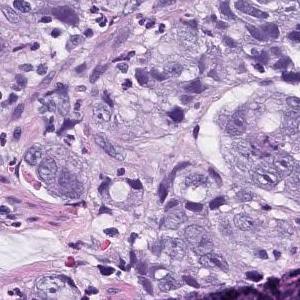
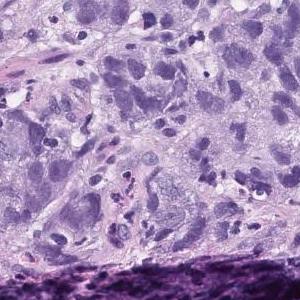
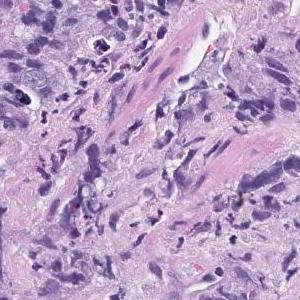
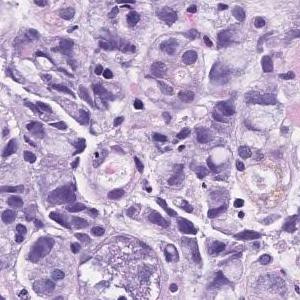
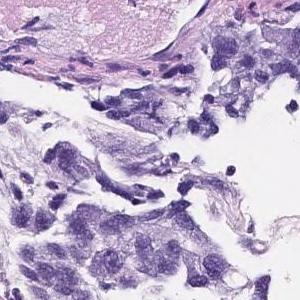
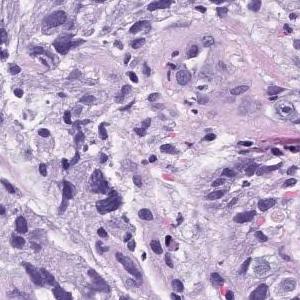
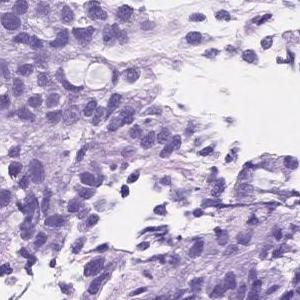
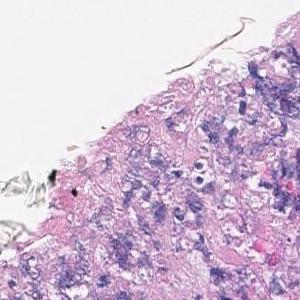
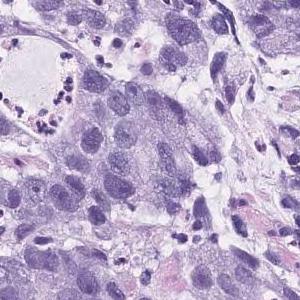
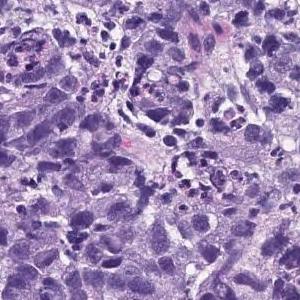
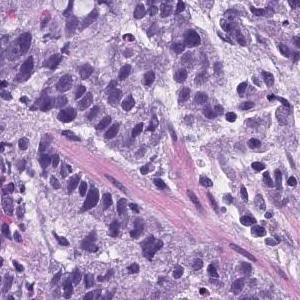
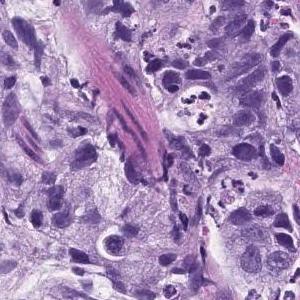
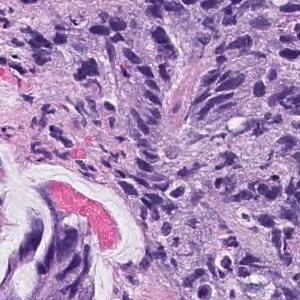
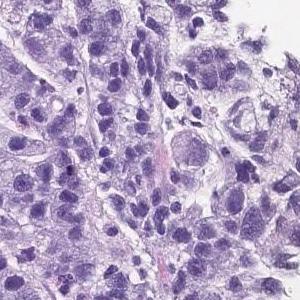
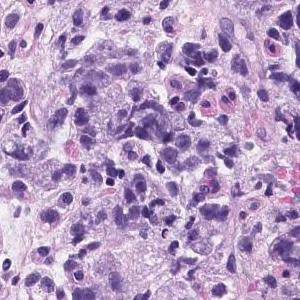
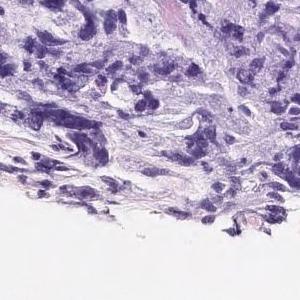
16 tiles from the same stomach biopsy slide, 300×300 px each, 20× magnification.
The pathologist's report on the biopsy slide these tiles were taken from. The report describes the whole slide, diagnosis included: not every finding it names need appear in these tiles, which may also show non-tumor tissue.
Atypical l cells with atypical nuclei forming solid vesicles or small irregular atypical ducts that proliferate in a complex manner. poorly differentiated adenocarcinoma, solid type, moderately differentiated tubular adenocarcinoma
"Solid type" is a category of the Japanese Classification of Gastric Carcinoma; in the WHO 2019 classification it is tubular adenocarcinoma, poorly differentiated.
